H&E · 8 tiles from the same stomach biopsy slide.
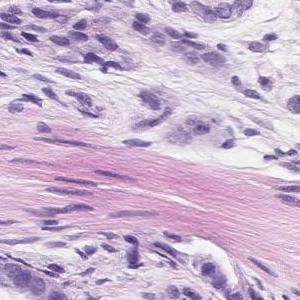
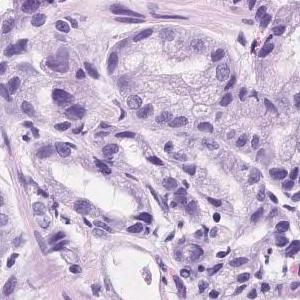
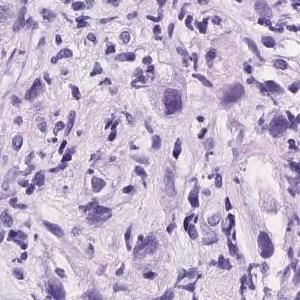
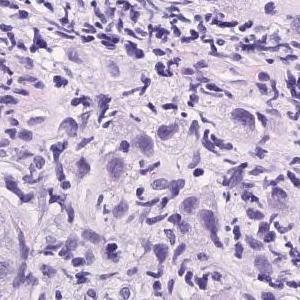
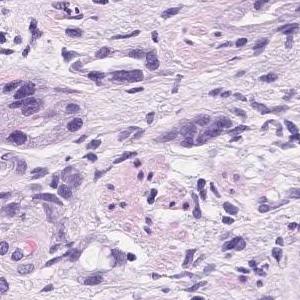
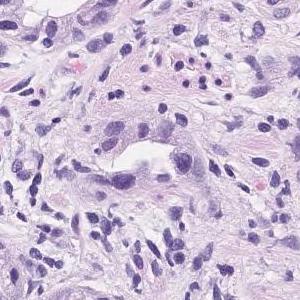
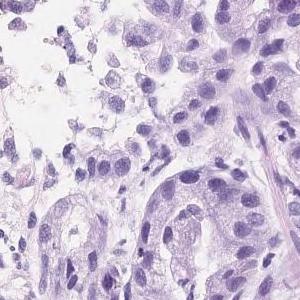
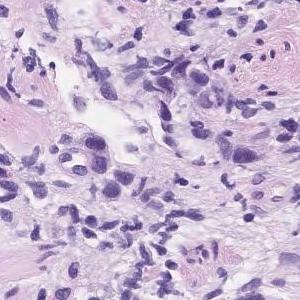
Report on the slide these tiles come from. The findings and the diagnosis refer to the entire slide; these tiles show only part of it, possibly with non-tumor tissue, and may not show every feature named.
Atypical epithelial cells with some large atypical nuclei growing in the form of agglomerates or cords from tubular glands is observed. moderately differentiated tubular adenocarcinoma
